Hematoxylin and eosin stain · 12 tiles cut from one stomach biopsy slide · each 300 × 300 pixels.
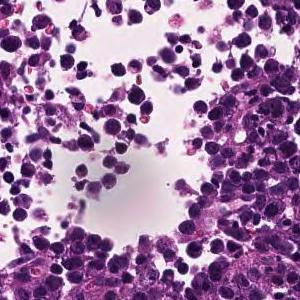
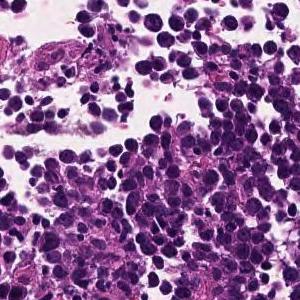
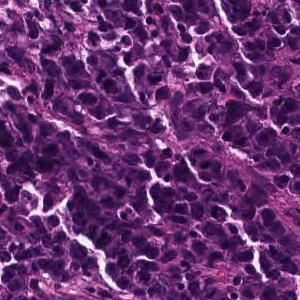
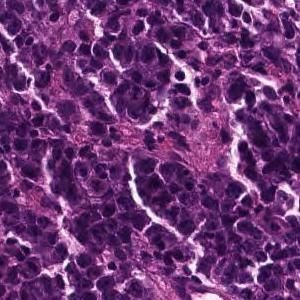
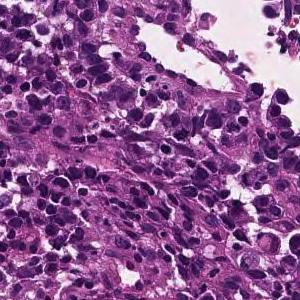
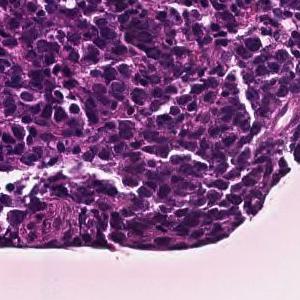
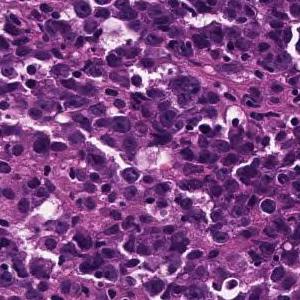
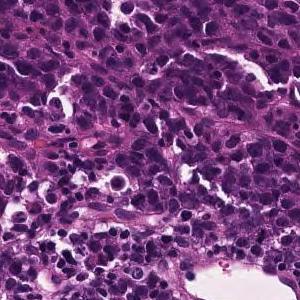
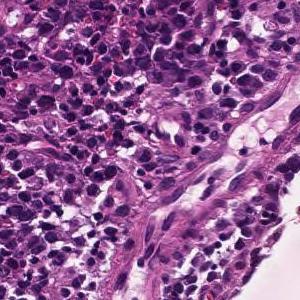
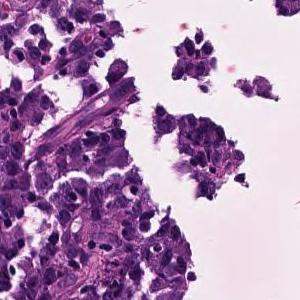
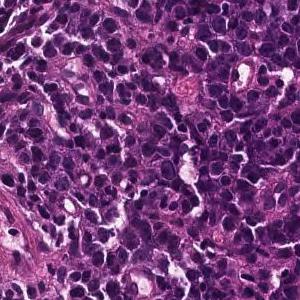
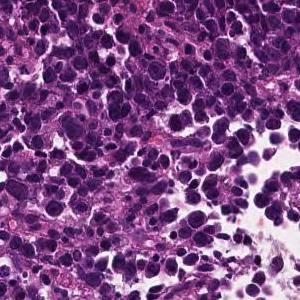
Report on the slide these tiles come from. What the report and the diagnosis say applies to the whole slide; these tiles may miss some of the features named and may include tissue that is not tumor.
The superficial epithelium shows a large sheet-like shape, and some tumor tissue infiltrates with small irregular ducts. Poorly differentiated adenocarcinoma, solid-type
Subtype: Poorly differentiated adenocarcinoma, solid type, a category of the Japanese Classification of Gastric Carcinoma; in the WHO 2019 classification it is tubular adenocarcinoma, poorly differentiated.
